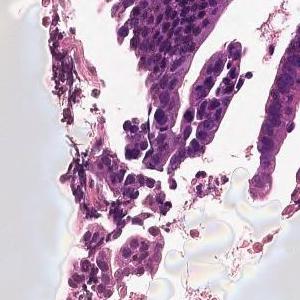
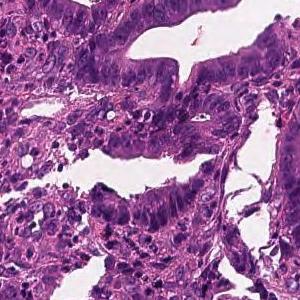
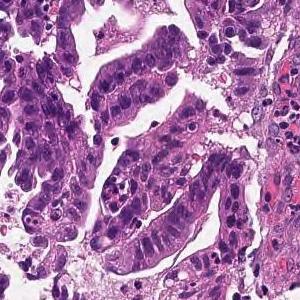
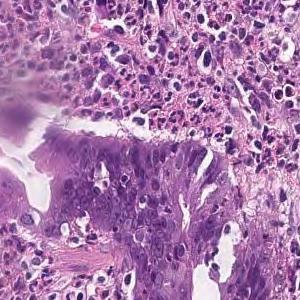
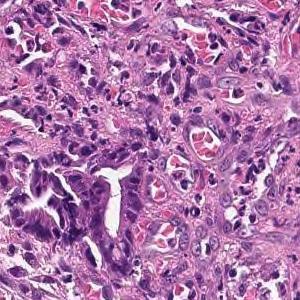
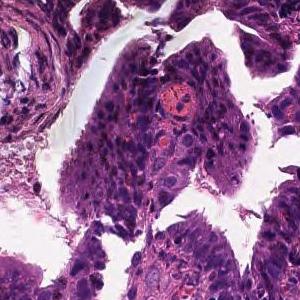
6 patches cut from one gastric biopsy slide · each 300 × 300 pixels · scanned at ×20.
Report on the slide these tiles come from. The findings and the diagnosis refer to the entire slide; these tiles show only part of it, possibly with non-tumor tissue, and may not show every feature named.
From the superficial epithelium to the muscularis mucosae, tumor tissue consisting of medium-sized and irregular glandular ducts infiltrating is observed. Well differentiated tubular adenocarcinoma
